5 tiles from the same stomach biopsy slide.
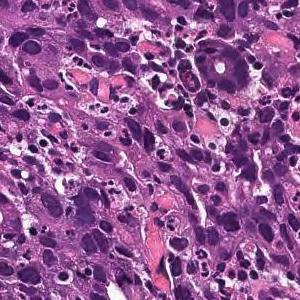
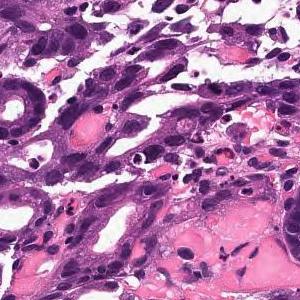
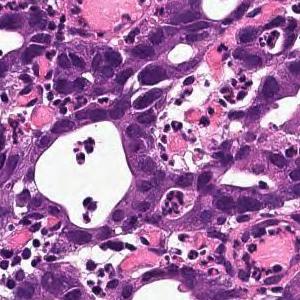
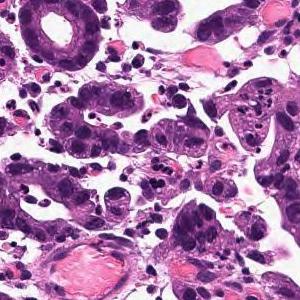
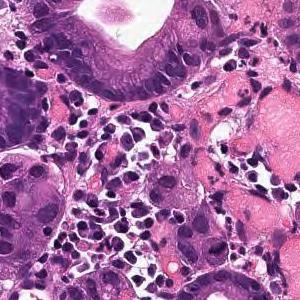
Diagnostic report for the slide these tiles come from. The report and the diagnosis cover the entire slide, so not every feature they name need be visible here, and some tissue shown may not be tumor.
On the superficial epithelium, a tumor tissue consisting of a large, irregular glandular duct partially fused and infiltrating with a small alveolar shape is observed. Well or moderately differentiated tubular adenocarcinoma (well differentiated tubular adenocarcinoma, moderately differentiated tubular adenocarcinoma)
Tumor subtype: well to moderately differentiated tubular adenocarcinoma.
